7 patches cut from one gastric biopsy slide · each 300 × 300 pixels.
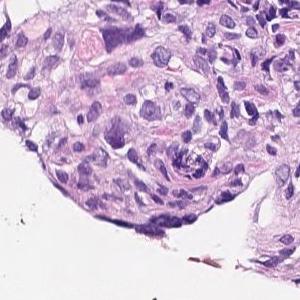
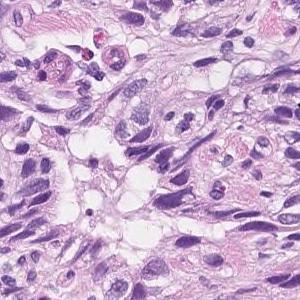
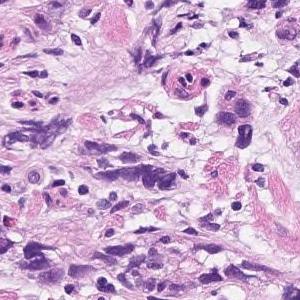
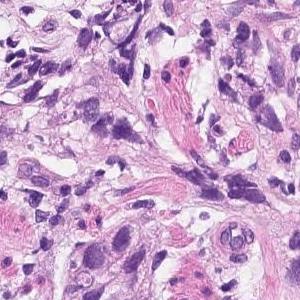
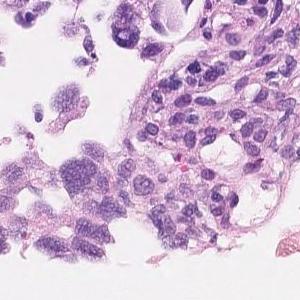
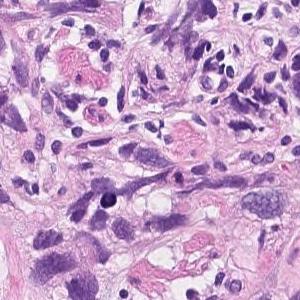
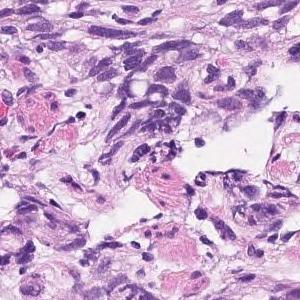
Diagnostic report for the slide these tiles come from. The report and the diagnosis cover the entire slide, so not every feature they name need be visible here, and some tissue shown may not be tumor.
In the superficial epithelium, tumor tissue that invades by forming medium-sized to small, irregular ducts is observed. Moderately differentiated adenocarcinoma.
Tumor subtype: moderately differentiated tubular adenocarcinoma.
